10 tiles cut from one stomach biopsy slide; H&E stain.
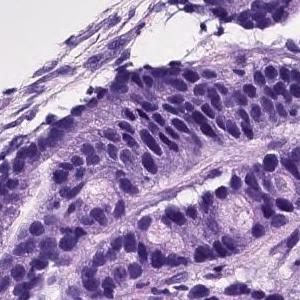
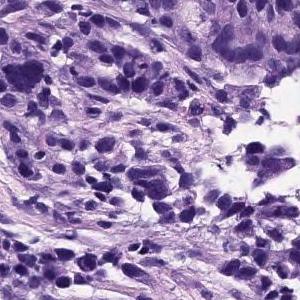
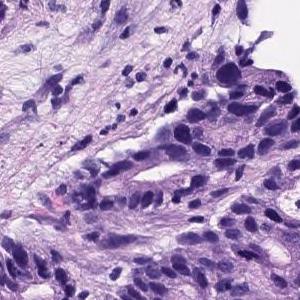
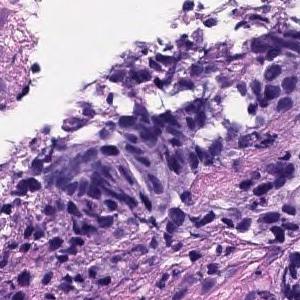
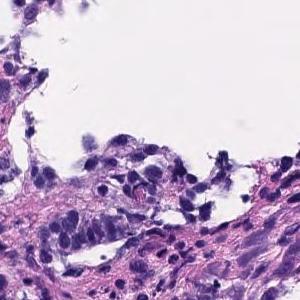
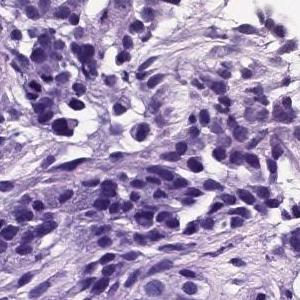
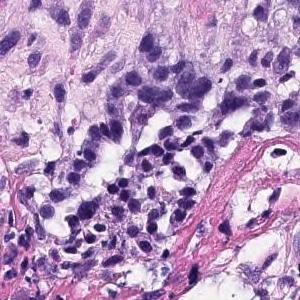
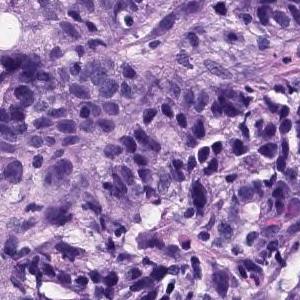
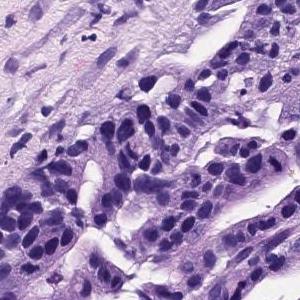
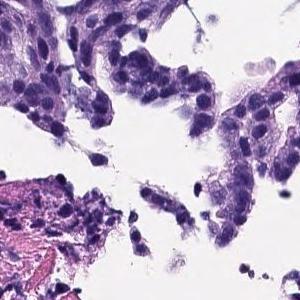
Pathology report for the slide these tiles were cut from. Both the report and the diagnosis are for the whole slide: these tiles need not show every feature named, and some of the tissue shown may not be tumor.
In the superficial epithelium, tumor tissue that invades by forming medium-sized to small, irregular ducts is observed. Tumor cells are columnar or cuboidal in shape. Moderately differentiated adenocarcinoma.
Classified as moderately differentiated tubular adenocarcinoma.
